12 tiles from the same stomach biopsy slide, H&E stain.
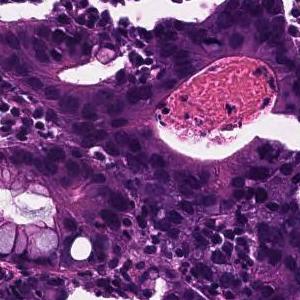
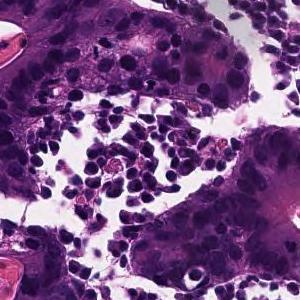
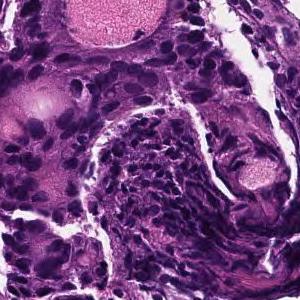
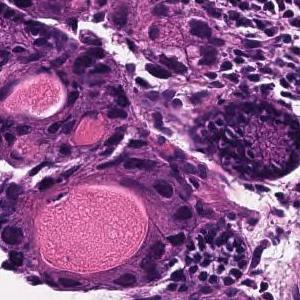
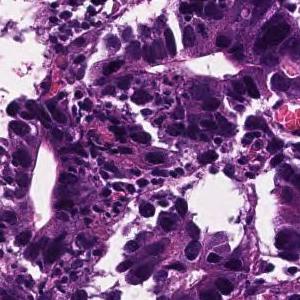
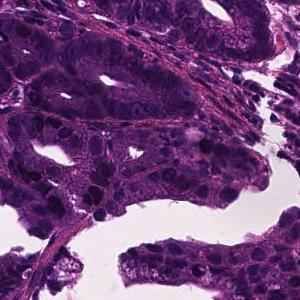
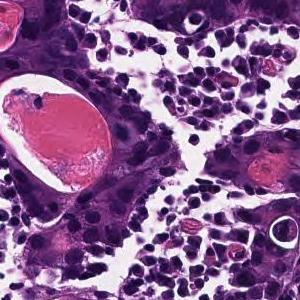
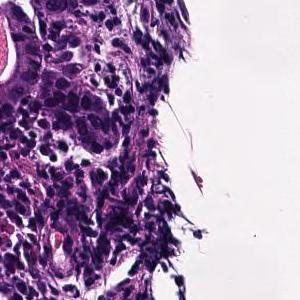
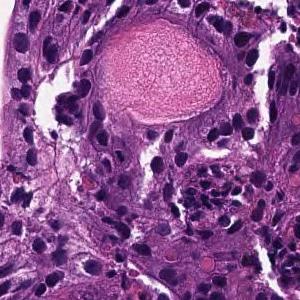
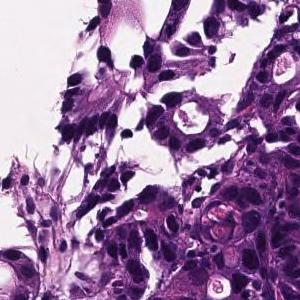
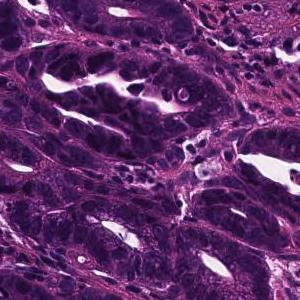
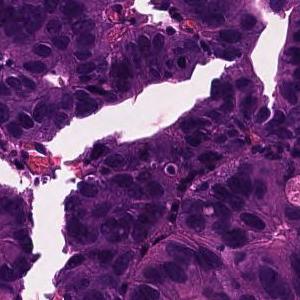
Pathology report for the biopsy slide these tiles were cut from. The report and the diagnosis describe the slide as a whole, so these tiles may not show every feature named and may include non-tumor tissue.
From the superficial epithelium to the muscularis mucosae, tumor tissue infiltrating by forming medium-sized irregular gland ducts is observed. Large tumor cells exhibit large nucleus and hyperchromatism. Well differentiated tubular adenocarcinoma
